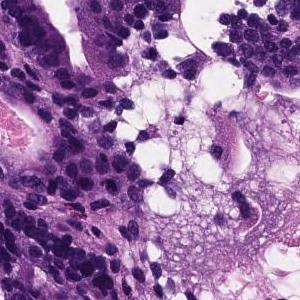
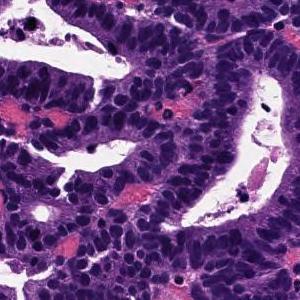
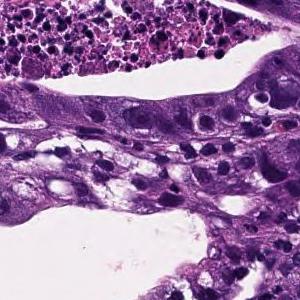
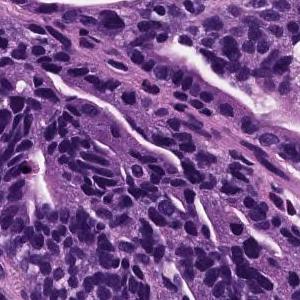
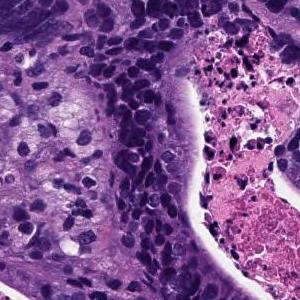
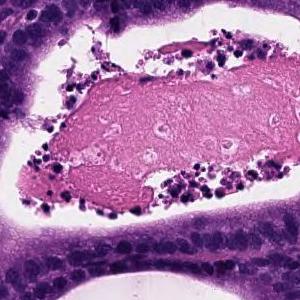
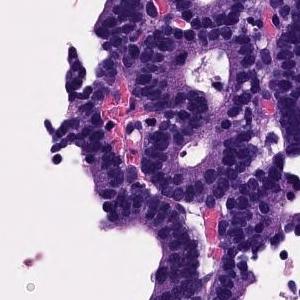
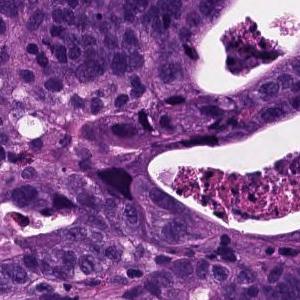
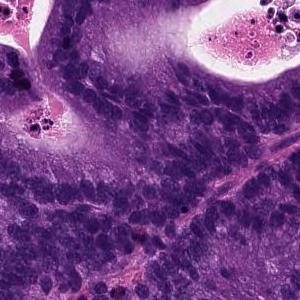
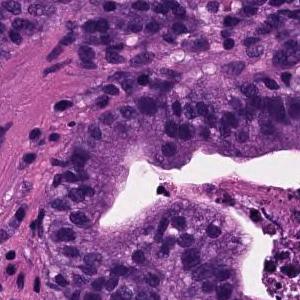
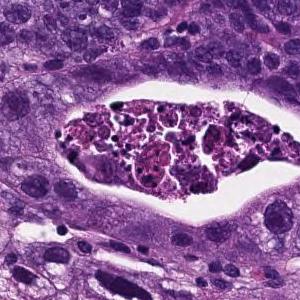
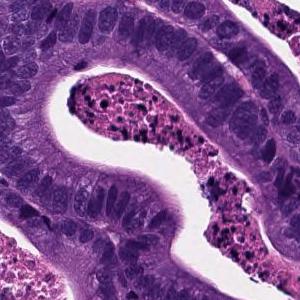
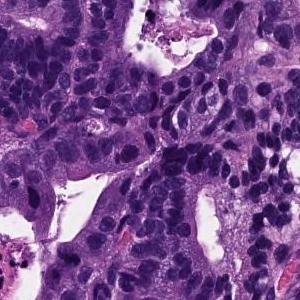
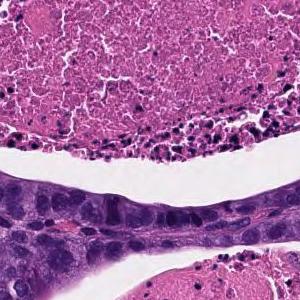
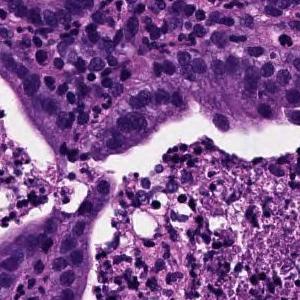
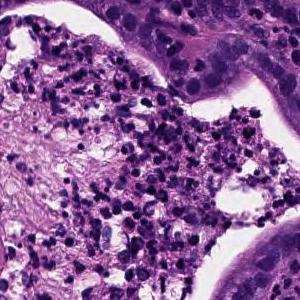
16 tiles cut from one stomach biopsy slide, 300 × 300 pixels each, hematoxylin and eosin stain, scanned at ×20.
Pathology report for the biopsy slide these tiles were cut from. The findings and the diagnosis refer to the entire slide; these tiles show only part of it, possibly with non-tumor tissue, and may not show every feature named.
From the superficial epithelium to the muscularis mucosae, tumor tissue consisting of medium-sized and irregular glandular ducts infiltrating is observed. Well differentiated tubular adenocarcinoma
